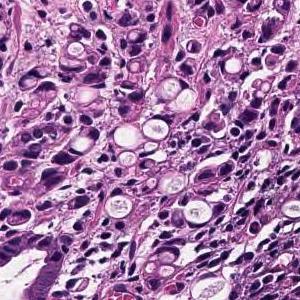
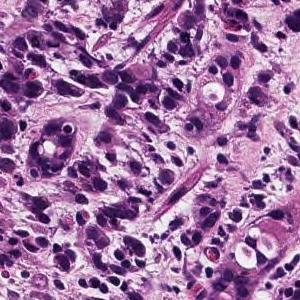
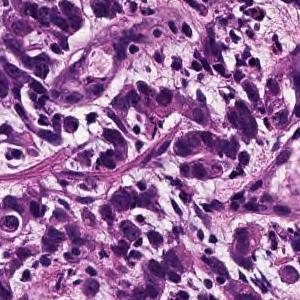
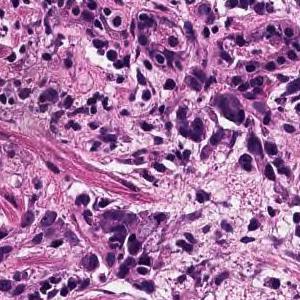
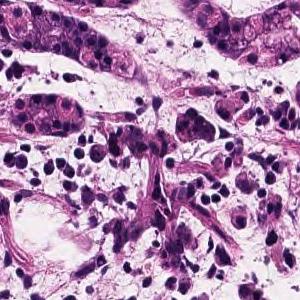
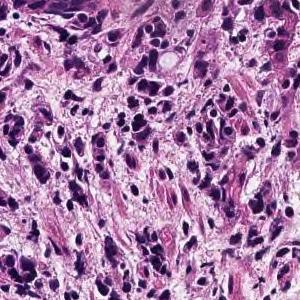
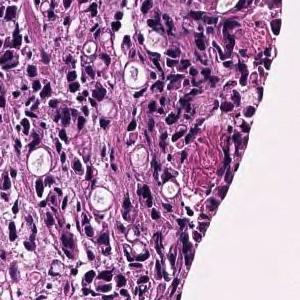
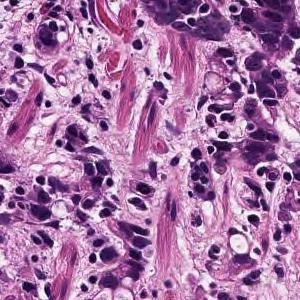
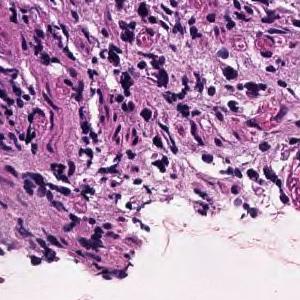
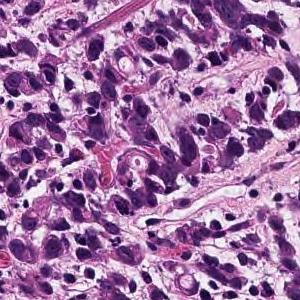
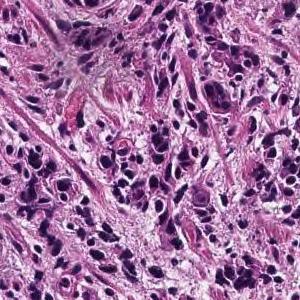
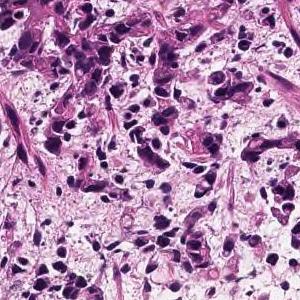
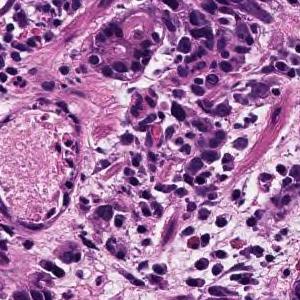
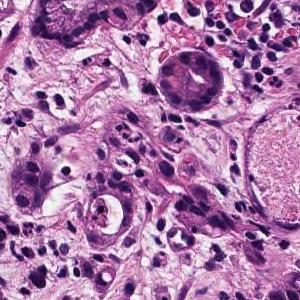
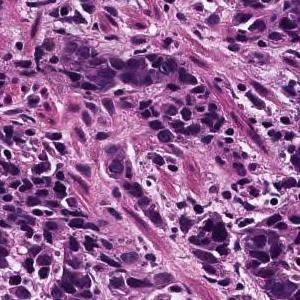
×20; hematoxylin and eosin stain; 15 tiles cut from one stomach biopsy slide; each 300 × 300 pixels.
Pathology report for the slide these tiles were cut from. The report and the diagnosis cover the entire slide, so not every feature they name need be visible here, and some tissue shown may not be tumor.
Tumor tissue consisting of cord-like or small, irregular glandular ducts fused and infiltrated is observed in the superficial epithelium. Poorly differentiated adenocarcinoma, non-solid type
The term "non-solid type" comes from the Japanese Classification of Gastric Carcinoma.
